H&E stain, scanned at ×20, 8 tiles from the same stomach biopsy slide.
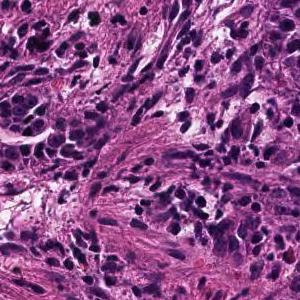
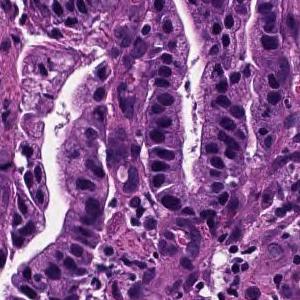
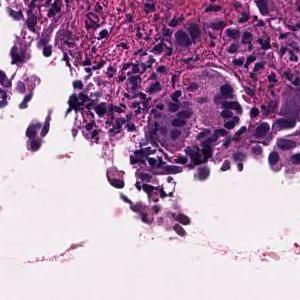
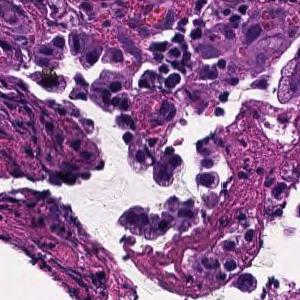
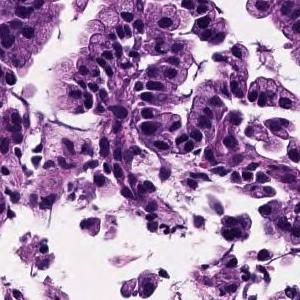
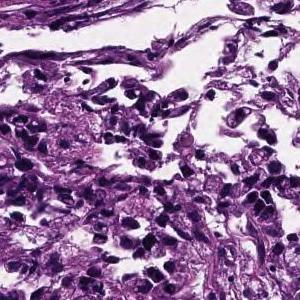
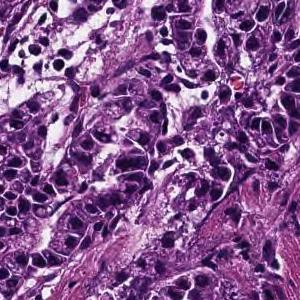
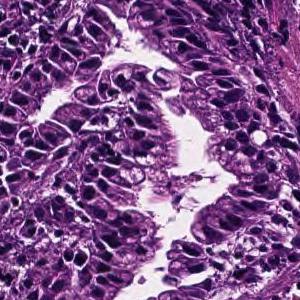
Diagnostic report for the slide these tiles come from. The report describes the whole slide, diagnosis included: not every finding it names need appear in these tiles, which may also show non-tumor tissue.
Tumor cells are large, highly columnar, large club-shaped nuclei, and are associated with chromatin aggregation. Papillary adenocarcinoma.
